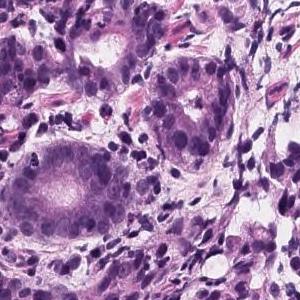
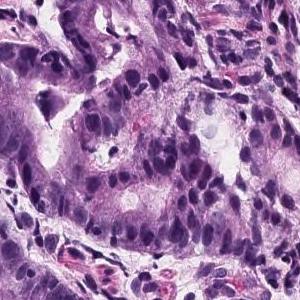
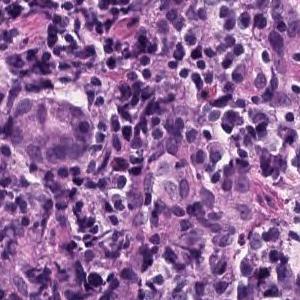
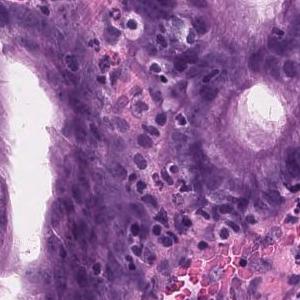
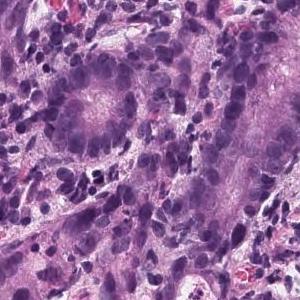
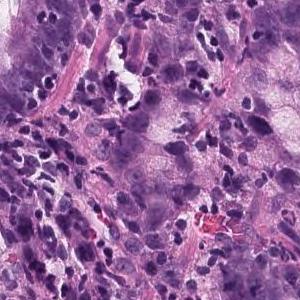
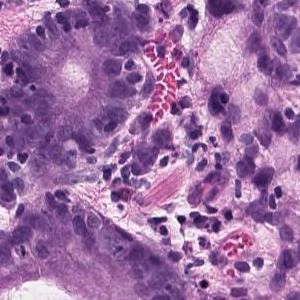
7 tiles cut from one stomach biopsy slide · 300×300 px each · H&E stain.
Pathology report for the biopsy slide these tiles were cut from. The report describes the whole slide, diagnosis included: not every finding it names need appear in these tiles, which may also show non-tumor tissue.
In the superficial epithelium, tumor tissue that invades by forming medium-sized to small, irregular ducts is observed. Moderately differentiated adenocarcinoma.
Histologic type: Moderately differentiated tubular adenocarcinoma.
